H&E, 7 image tiles from a single gastric biopsy slide.
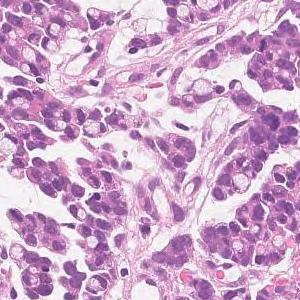
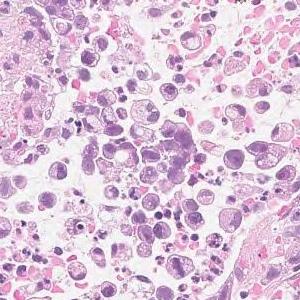
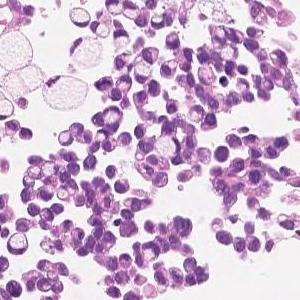
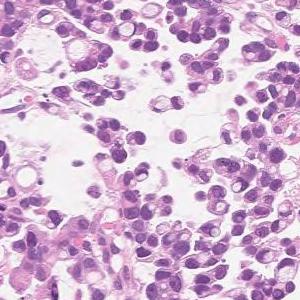
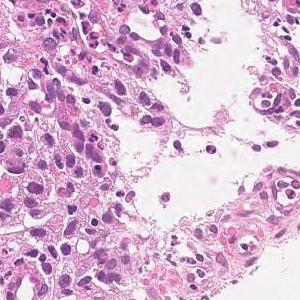
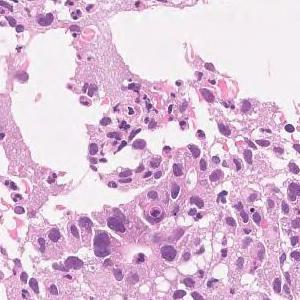
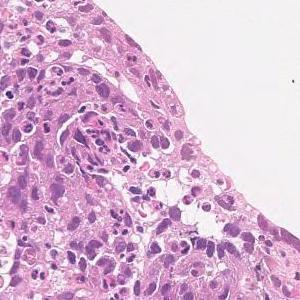
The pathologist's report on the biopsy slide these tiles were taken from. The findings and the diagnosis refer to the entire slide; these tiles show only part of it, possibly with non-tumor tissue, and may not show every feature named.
Medium to small, irregular glandular ducts are formed in the superficial epithelium, and in some cases, the glandular ducts are fused to show solid alveolar lesions and infiltrating tumor tissue is observed. Moderately to poorly differentiated adenocarcinoma.
